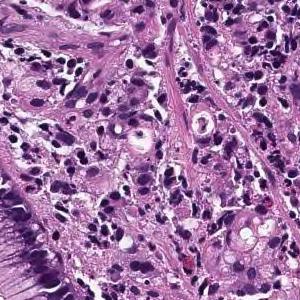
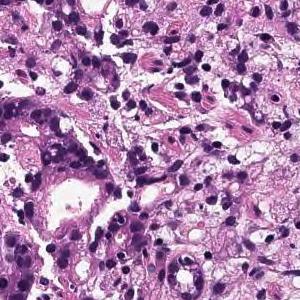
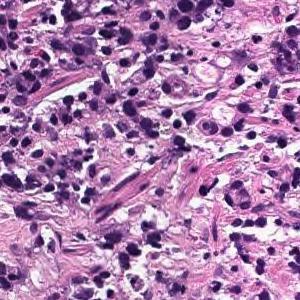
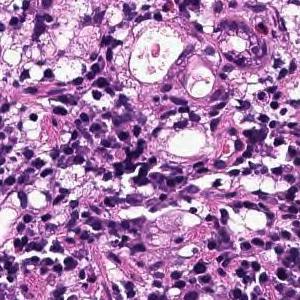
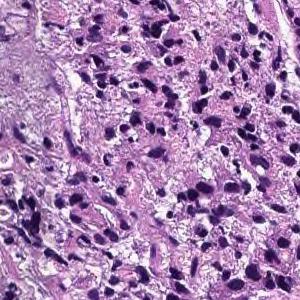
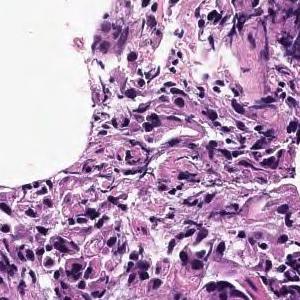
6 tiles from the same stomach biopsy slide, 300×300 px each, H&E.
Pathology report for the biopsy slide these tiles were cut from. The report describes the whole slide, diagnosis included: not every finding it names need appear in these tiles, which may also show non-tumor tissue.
Tumor tissue consisting of cord-like or small, irregular glandular ducts fused and infiltrated is observed in the superficial epithelium. Poorly differentiated adenocarcinoma, non-solid type
"Non-solid type" is a category of the Japanese Classification of Gastric Carcinoma.
